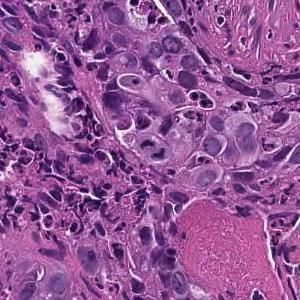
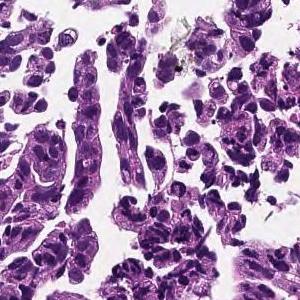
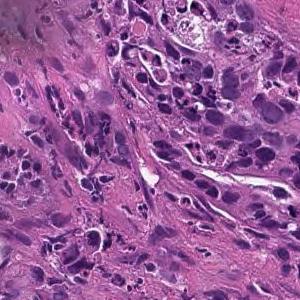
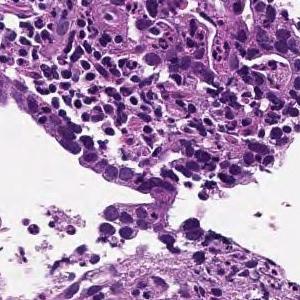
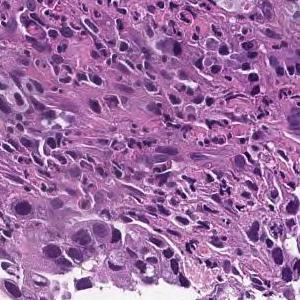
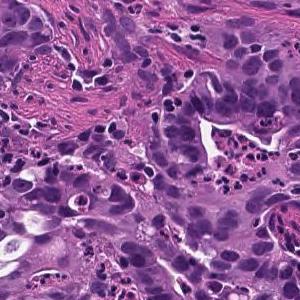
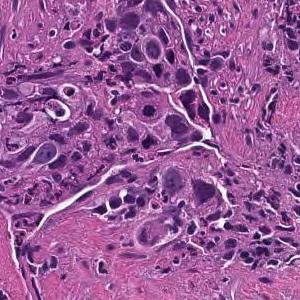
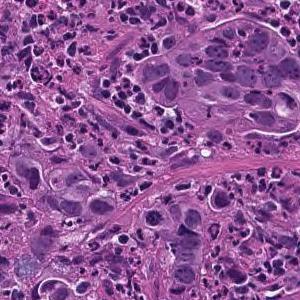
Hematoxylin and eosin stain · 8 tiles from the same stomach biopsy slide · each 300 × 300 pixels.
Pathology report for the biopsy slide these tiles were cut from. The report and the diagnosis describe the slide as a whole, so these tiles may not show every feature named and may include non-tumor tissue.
Tumor tissue consisting of medium-sized, cord-like or irregular glandular infiltration is observed in the superficial epithelium. Poorly differentiated adenocarcinoma, non-solid type or moderately differentiated tubular adenocarcinoma
Histologic type: Moderately to poorly differentiated adenocarcinoma.
"Non-solid type" is a category of the Japanese Classification of Gastric Carcinoma.
